×20 · H&E · 14 image tiles from a single gastric biopsy slide · 300 × 300 pixels each.
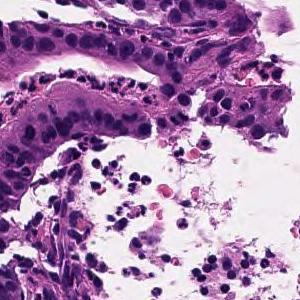
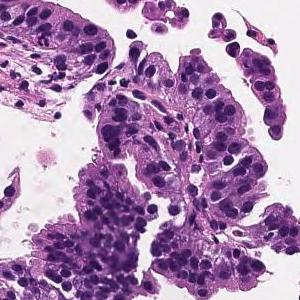
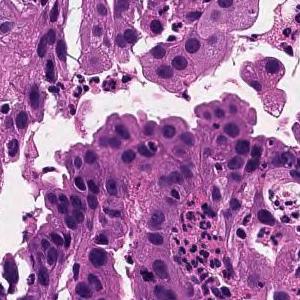
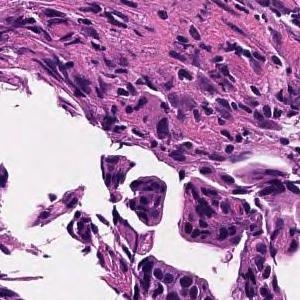
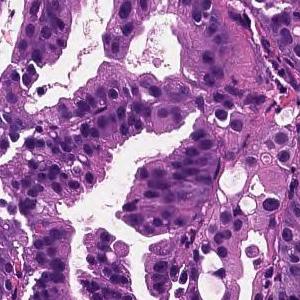
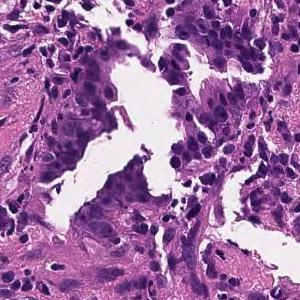
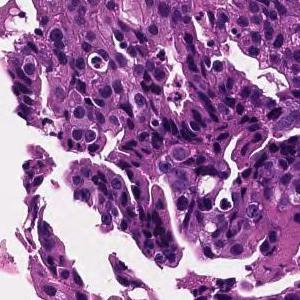
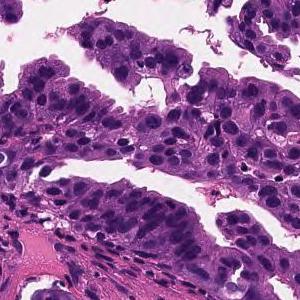
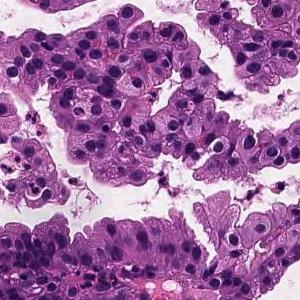
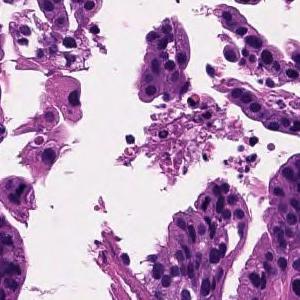
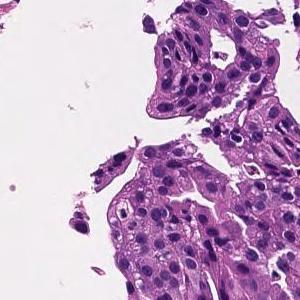
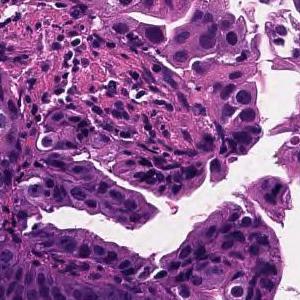
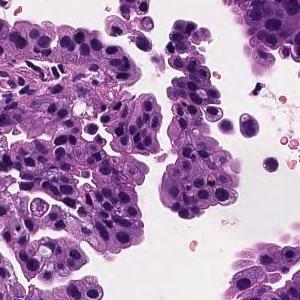
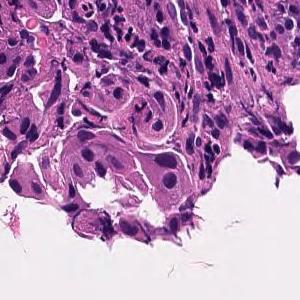
Diagnostic report for the slide these tiles come from. The findings and the diagnosis refer to the entire slide; these tiles show only part of it, possibly with non-tumor tissue, and may not show every feature named.
On the superficial epithelium, tumor tissue consisting of large, irregular glandular ducts partially fused and infiltrated is observed. Well to moderately differentiated tubular adenocarcinoma (well differentiated tubular adenocarcinoma, moderately differentiated tubular adenocarcinoma)
Histological subtype: Well to moderately differentiated tubular adenocarcinoma.
